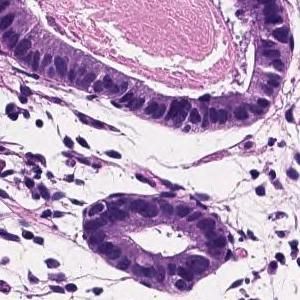
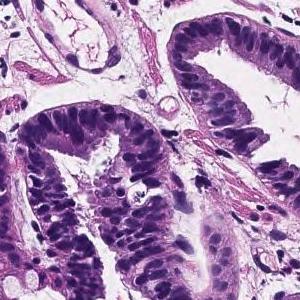
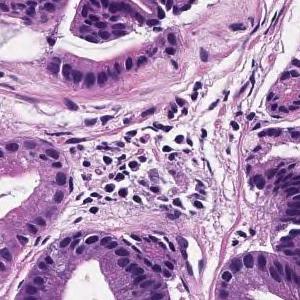
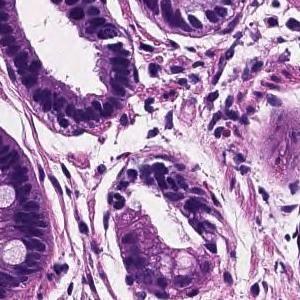
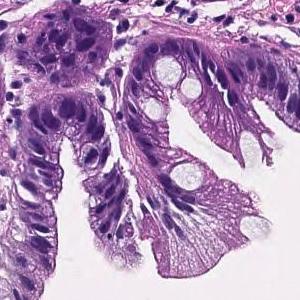
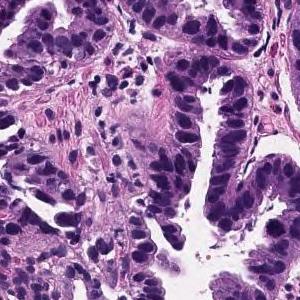
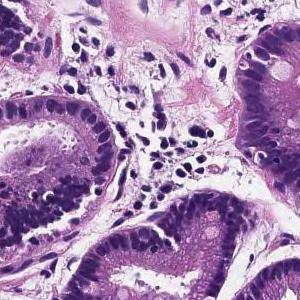
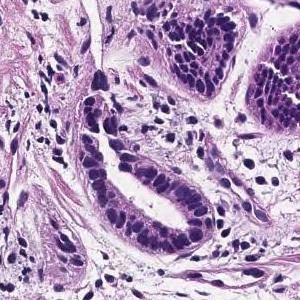
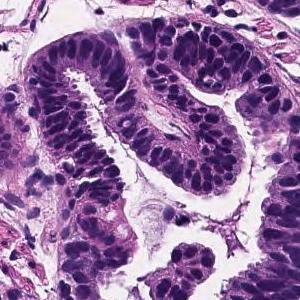
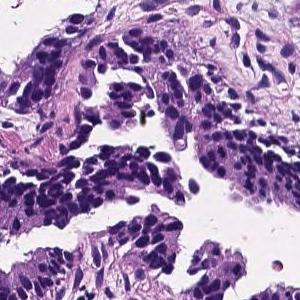
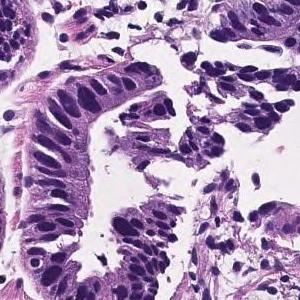
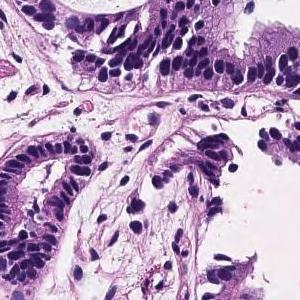
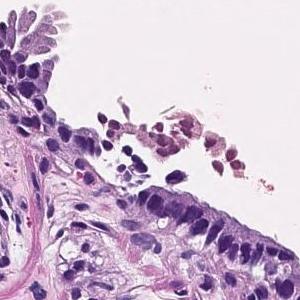
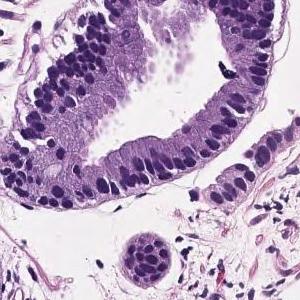
H&E stain · ×20 · 14 tiles cut from one stomach biopsy slide · 300×300 px each.
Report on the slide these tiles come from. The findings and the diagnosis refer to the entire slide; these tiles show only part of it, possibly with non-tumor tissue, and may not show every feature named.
Tumor cells are large, highly columnar, large club-shaped nuclei, and are associated with chromatin aggregation. Papillary adenocarcinoma.
